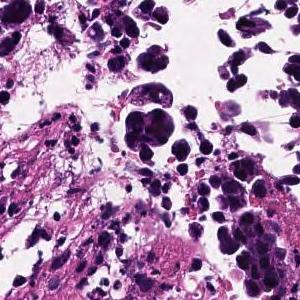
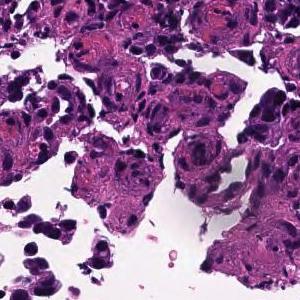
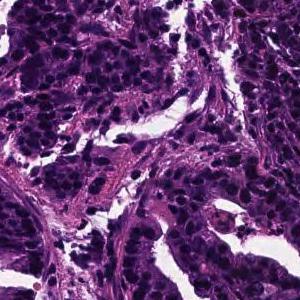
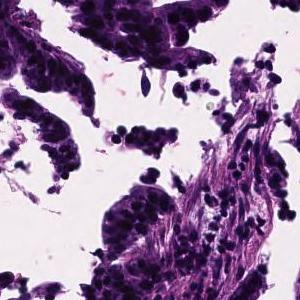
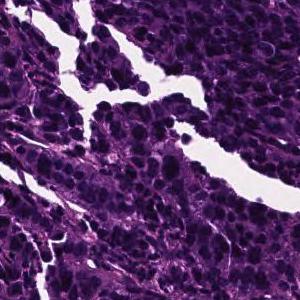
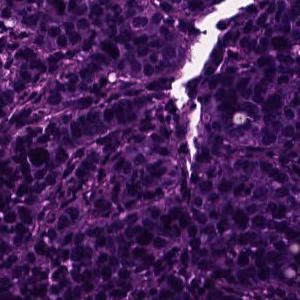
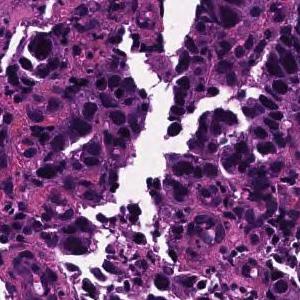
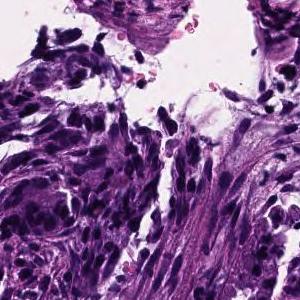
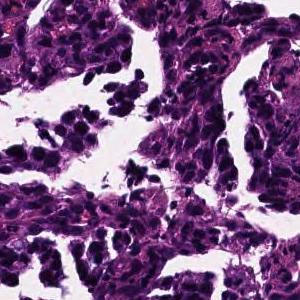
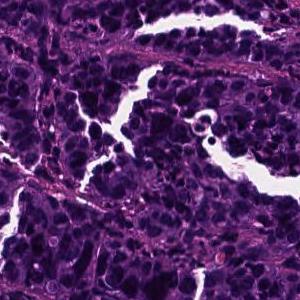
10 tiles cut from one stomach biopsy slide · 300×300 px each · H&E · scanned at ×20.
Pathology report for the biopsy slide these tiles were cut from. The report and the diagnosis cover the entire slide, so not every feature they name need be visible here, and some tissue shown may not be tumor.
In the superficial epithelium, tumor tissue that invades by forming medium-sized to small, irregular ducts is observed. moderately differentiated tubular adenocarcinoma.
